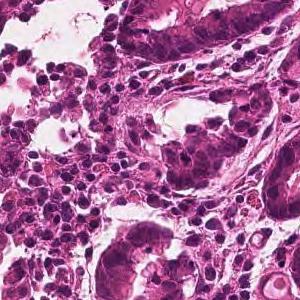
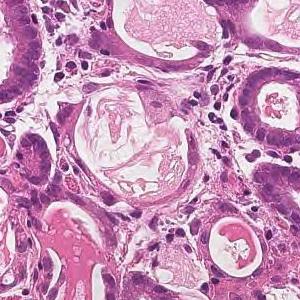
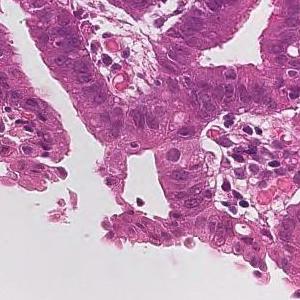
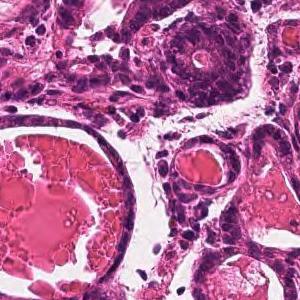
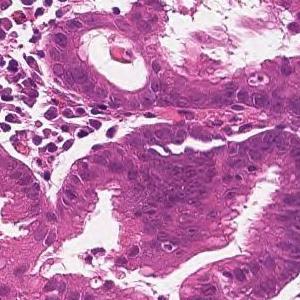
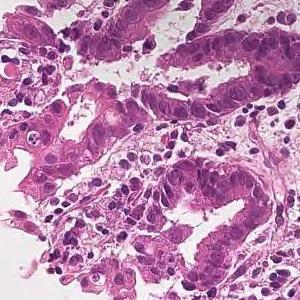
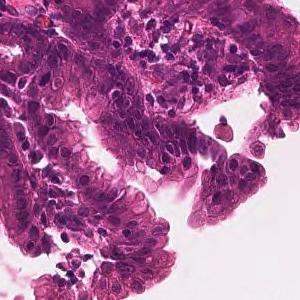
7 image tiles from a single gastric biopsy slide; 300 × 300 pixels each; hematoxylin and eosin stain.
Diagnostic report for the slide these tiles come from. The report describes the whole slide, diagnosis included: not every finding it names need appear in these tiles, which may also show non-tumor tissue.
From the superficial epithelium to the muscularis mucosae, tumor tissue consisting of medium-sized and irregular glandular ducts infiltrating is observed. Well differentiated tubular adenocarcinoma
